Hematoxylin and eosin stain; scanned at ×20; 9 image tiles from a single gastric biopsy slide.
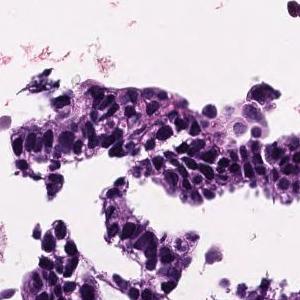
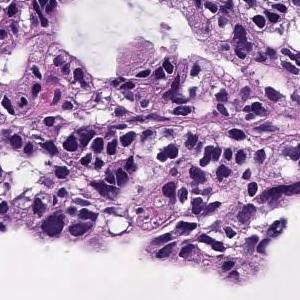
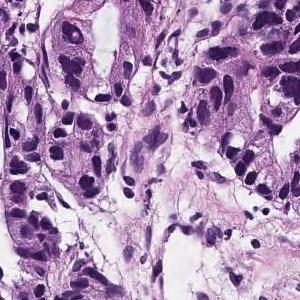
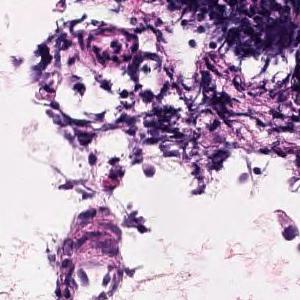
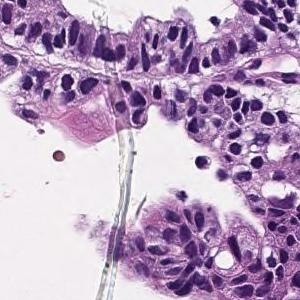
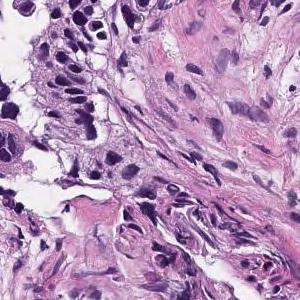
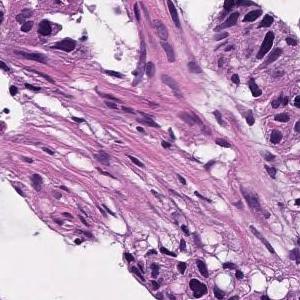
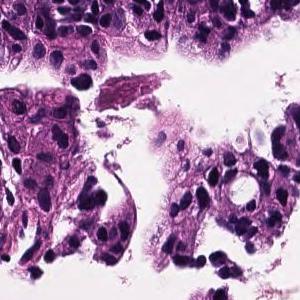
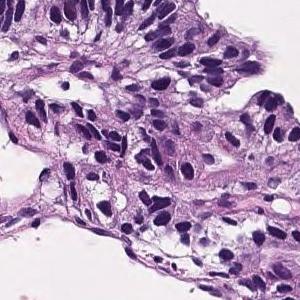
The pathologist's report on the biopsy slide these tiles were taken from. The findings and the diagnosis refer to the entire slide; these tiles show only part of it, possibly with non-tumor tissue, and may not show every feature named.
Tumor cells are large, highly columnar, large club-shaped nuclei, and are associated with chromatin aggregation. Papillary adenocarcinoma.
